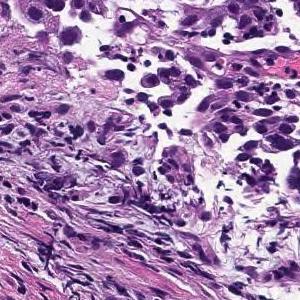
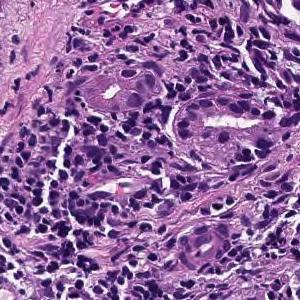
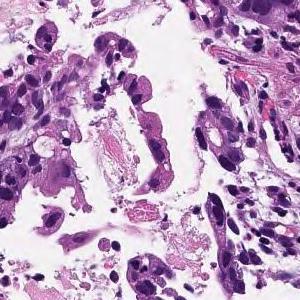
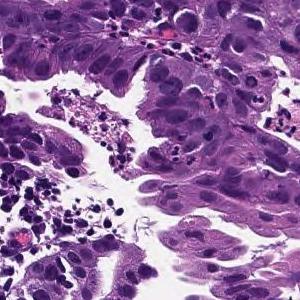
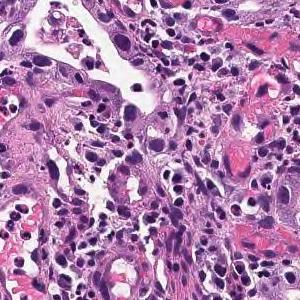
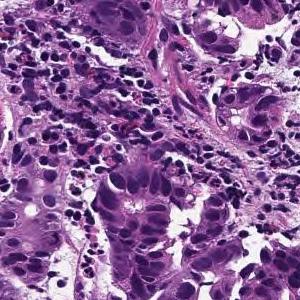
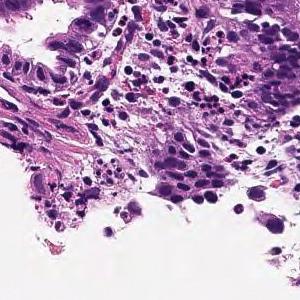
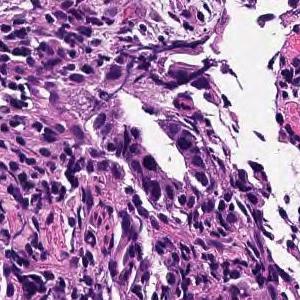
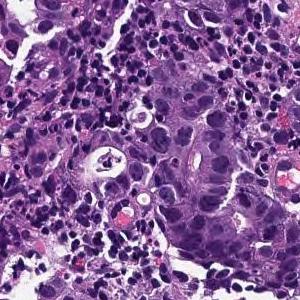
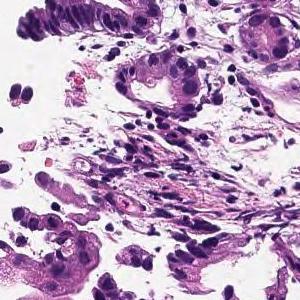
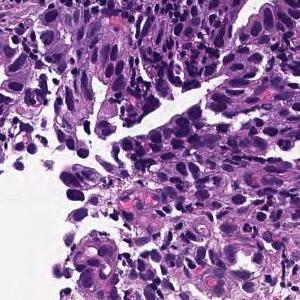
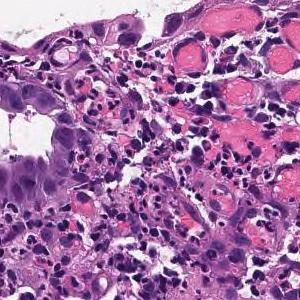
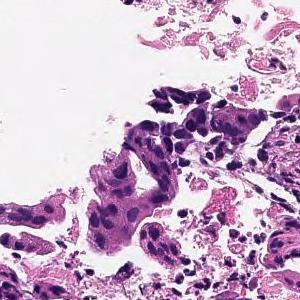
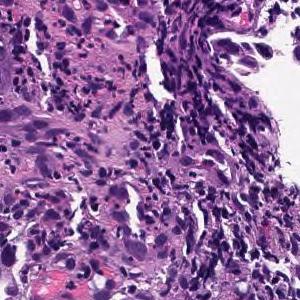
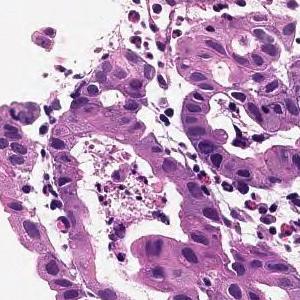
15 tiles cut from one stomach biopsy slide.
Pathology report for the slide these tiles were cut from. The report and the diagnosis cover the entire slide, so not every feature they name need be visible here, and some tissue shown may not be tumor.
In the superficial epithelium, tumor tissue that invades by forming medium-sized to small, irregular ducts is observed. moderately differentiated tubular adenocarcinoma.
